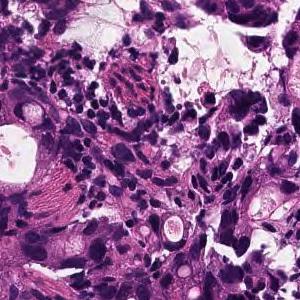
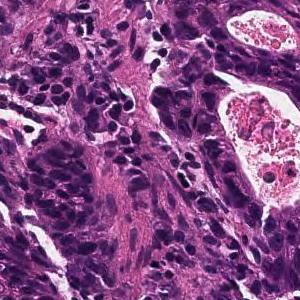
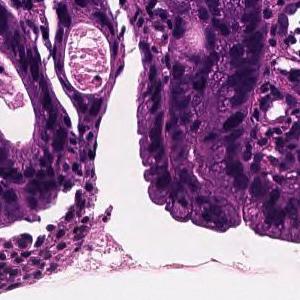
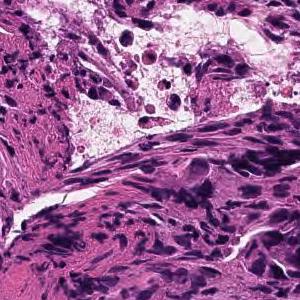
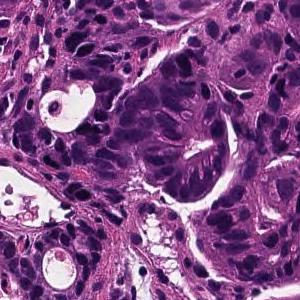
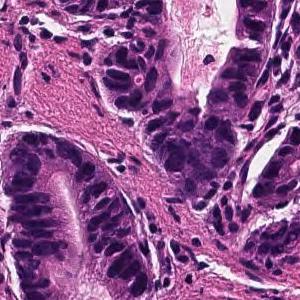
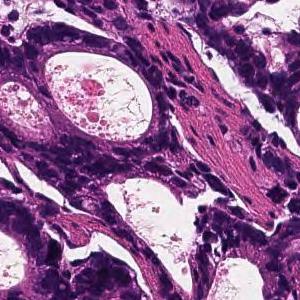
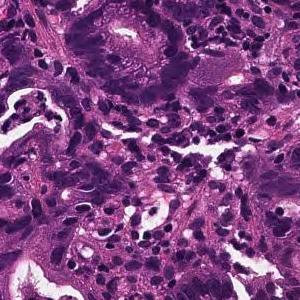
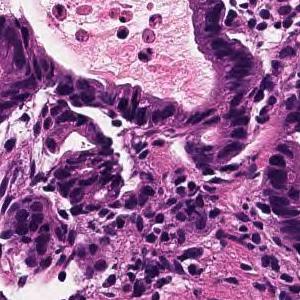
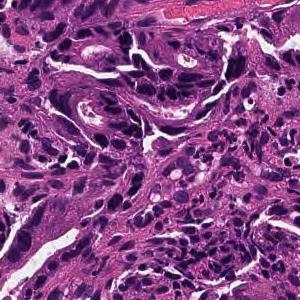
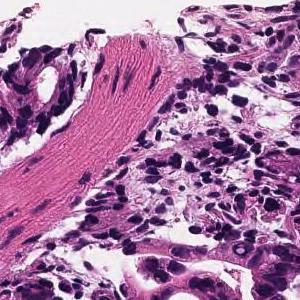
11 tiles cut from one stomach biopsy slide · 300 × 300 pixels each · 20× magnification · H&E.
Pathology report for the slide these tiles were cut from. The findings and the diagnosis refer to the entire slide; these tiles show only part of it, possibly with non-tumor tissue, and may not show every feature named.
In the superficial epithelium, tumor tissue that invades by forming medium-sized to small, irregular ducts is observed. moderately differentiated tubular adenocarcinoma.
